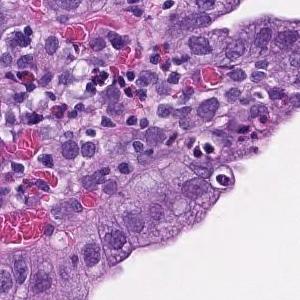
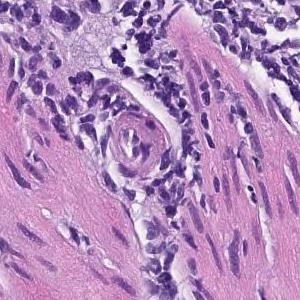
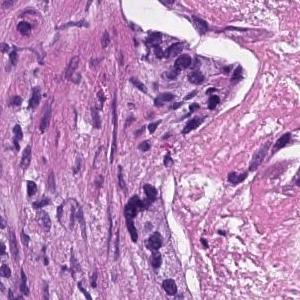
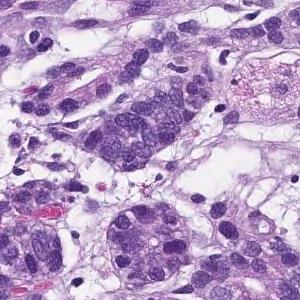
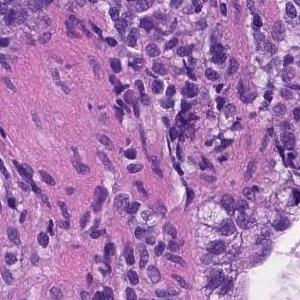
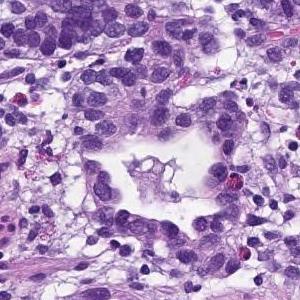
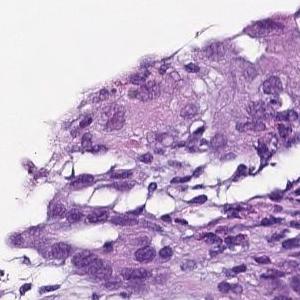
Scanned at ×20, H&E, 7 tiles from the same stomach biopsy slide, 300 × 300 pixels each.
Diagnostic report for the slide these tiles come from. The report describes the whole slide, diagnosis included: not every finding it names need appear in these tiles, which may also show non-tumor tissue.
From the superficial epithelium to the muscularis mucosae, tumor tissue consisting of medium-sized and irregular glandular ducts infiltrating is observed. Well differentiated tubular adenocarcinoma
